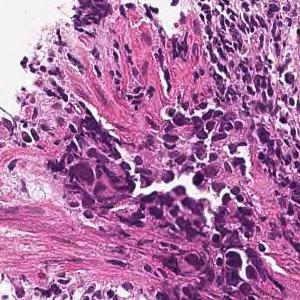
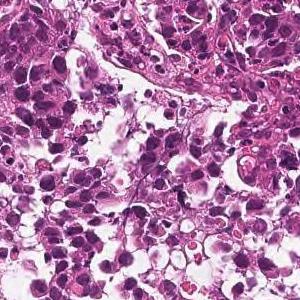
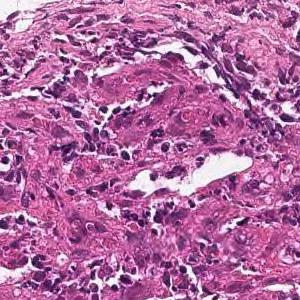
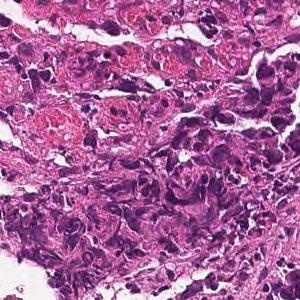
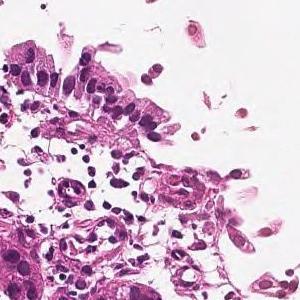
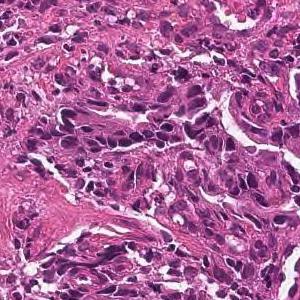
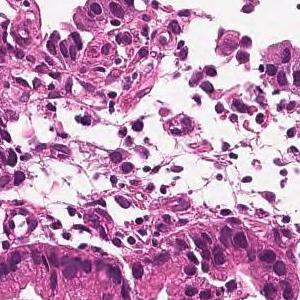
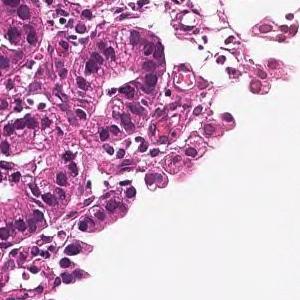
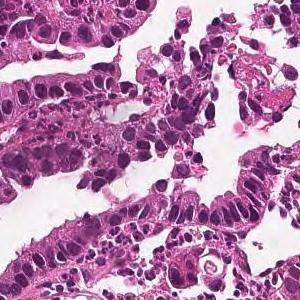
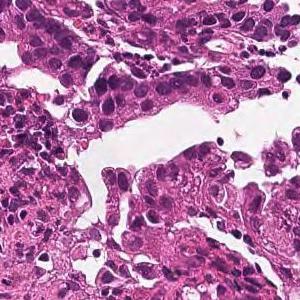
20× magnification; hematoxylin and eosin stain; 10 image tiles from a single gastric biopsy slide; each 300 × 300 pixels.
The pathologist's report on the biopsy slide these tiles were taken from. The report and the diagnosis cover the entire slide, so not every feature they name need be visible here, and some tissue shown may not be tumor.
Tumor tissue consisting of medium-sized, cord-like or irregular glandular infiltration is observed in the superficial epithelium. Poorly differentiated adenocarcinoma, non-solid type or moderately differentiated tubular adenocarcinoma
Histological subtype: Moderately to poorly differentiated adenocarcinoma.
"Non-solid type" is a category of the Japanese Classification of Gastric Carcinoma.
